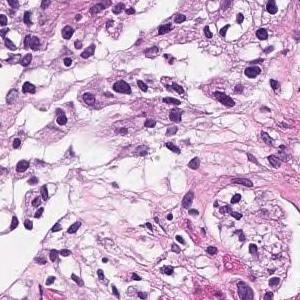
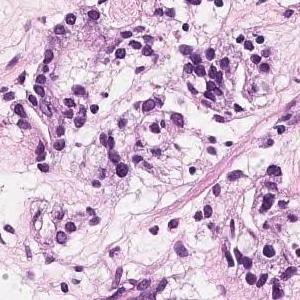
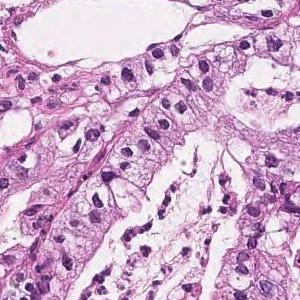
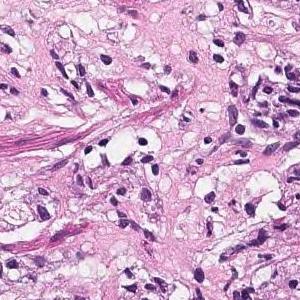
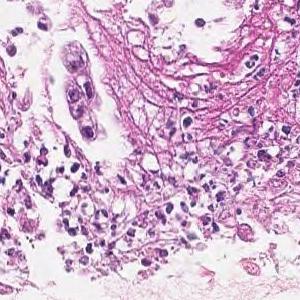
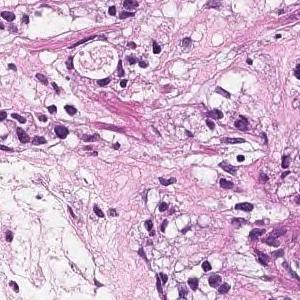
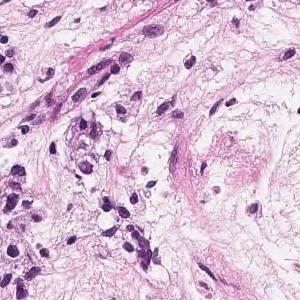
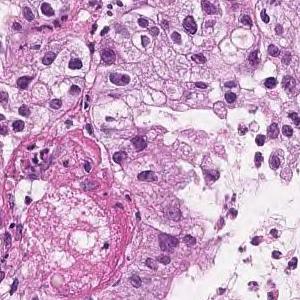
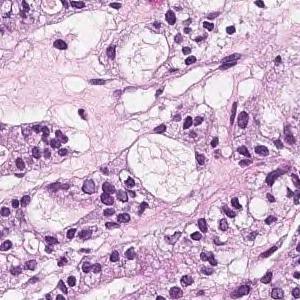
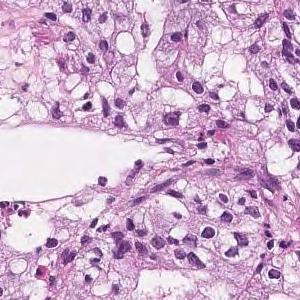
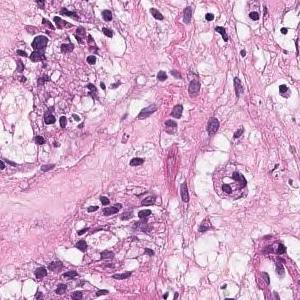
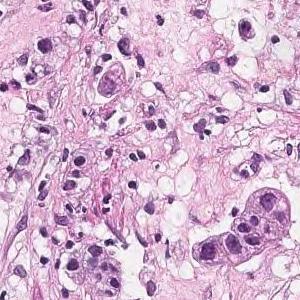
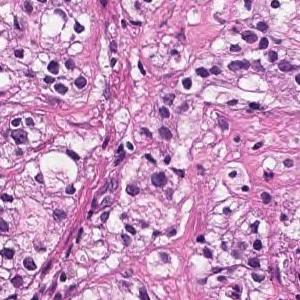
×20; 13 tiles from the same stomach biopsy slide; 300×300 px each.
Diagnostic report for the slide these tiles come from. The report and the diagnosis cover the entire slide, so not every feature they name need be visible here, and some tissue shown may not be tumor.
In the superficial epithelium, tumor tissue that invades by forming medium-sized to small, irregular ducts is observed. moderately differentiated tubular adenocarcinoma.
